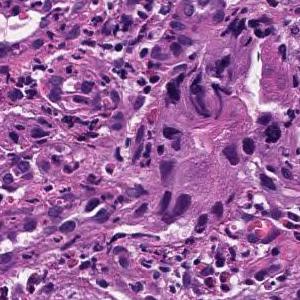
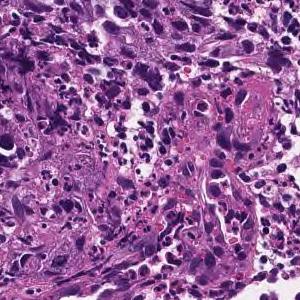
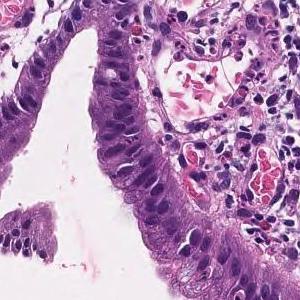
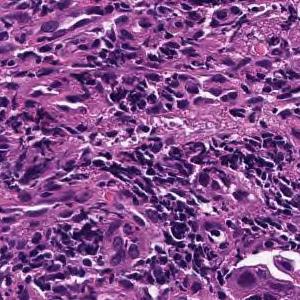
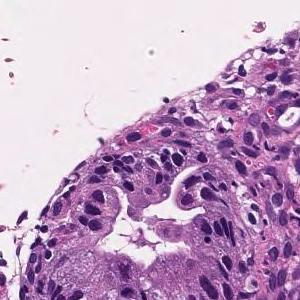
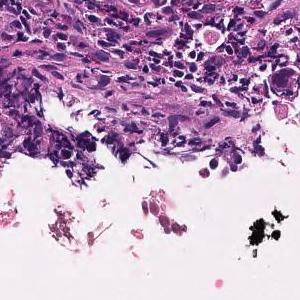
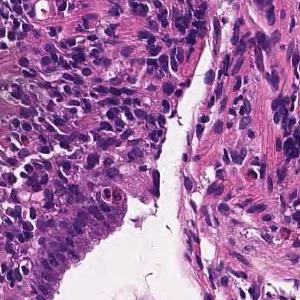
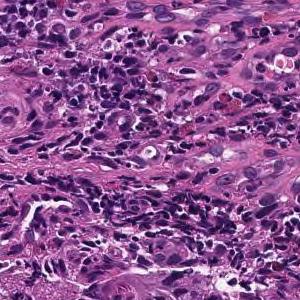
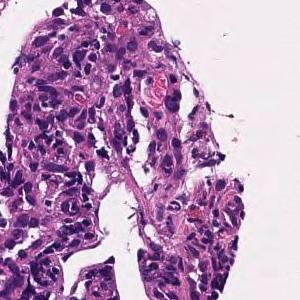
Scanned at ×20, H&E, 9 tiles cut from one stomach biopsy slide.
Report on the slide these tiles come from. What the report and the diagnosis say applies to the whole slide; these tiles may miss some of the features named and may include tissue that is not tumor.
In the superficial epithelium, tumor tissue that invades by forming medium-sized to small, irregular ducts is observed. moderately differentiated tubular adenocarcinoma.
